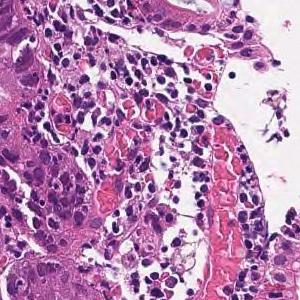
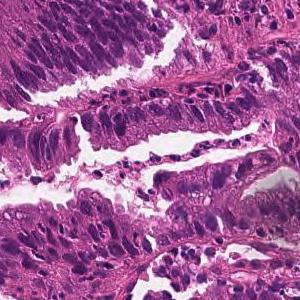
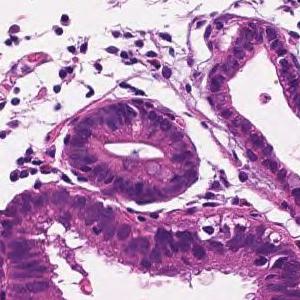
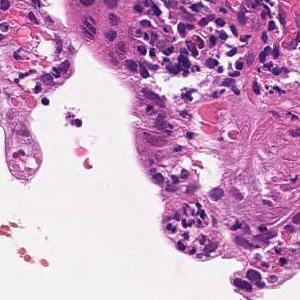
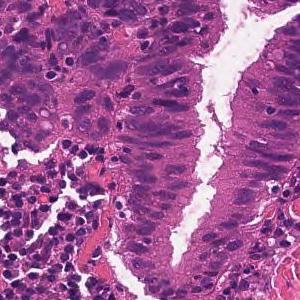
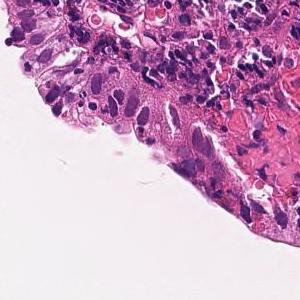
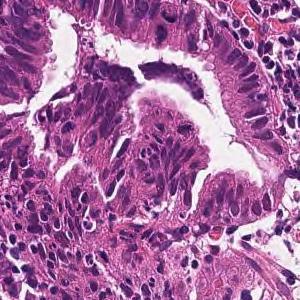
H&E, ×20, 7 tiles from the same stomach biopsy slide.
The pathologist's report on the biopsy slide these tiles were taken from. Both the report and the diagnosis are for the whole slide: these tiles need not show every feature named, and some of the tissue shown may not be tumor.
From the superficial epithelium to the muscularis mucosae, tumor tissue infiltrating by forming medium-sized irregular gland ducts is observed. Large tumor cells exhibit large nucleus and hyperchromatism. Well differentiated tubular adenocarcinoma
